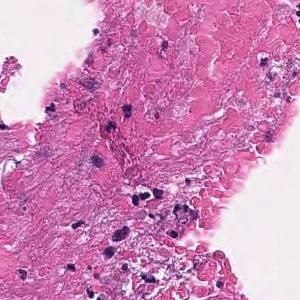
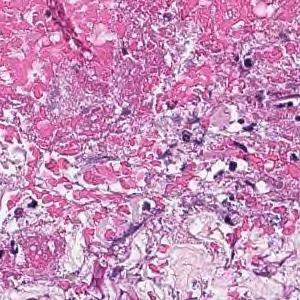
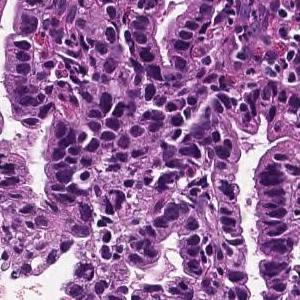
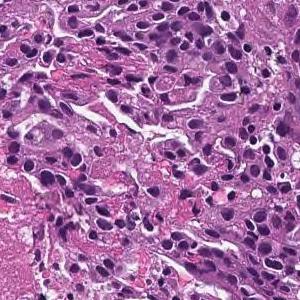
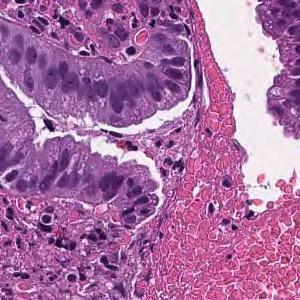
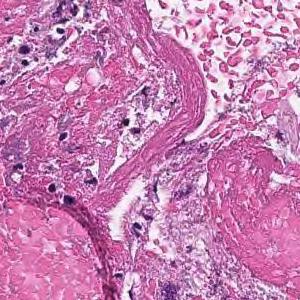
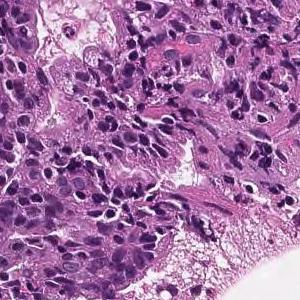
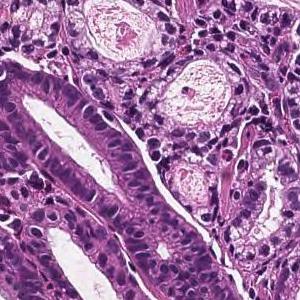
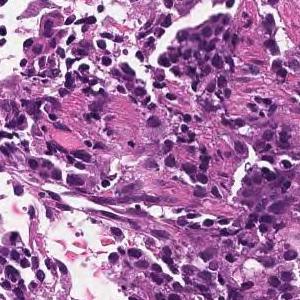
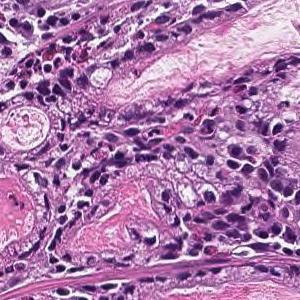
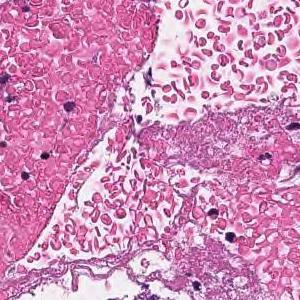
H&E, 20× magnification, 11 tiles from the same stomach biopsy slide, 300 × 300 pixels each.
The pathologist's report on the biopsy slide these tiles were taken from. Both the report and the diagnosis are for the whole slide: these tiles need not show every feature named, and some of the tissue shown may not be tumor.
On the superficial epithelium, tumor tissue that infiltrates by forming medium-sized papillary or small irregular ducts is observed. Papillary adenocarcinoma
